15 tiles cut from one stomach biopsy slide · H&E · scanned at ×20.
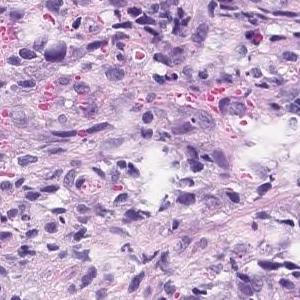
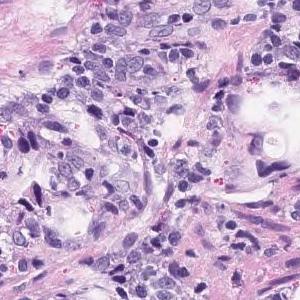
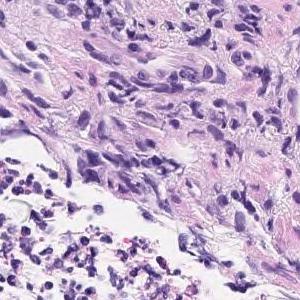
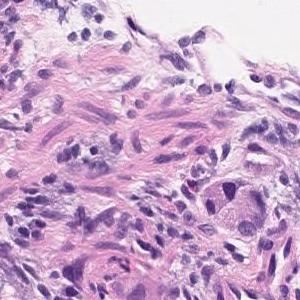
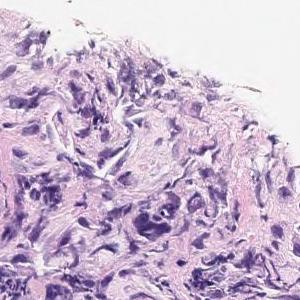
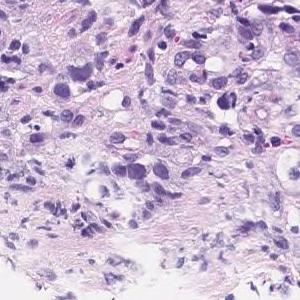
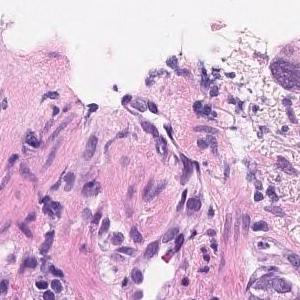
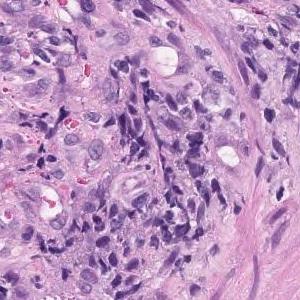
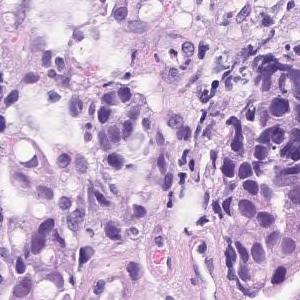
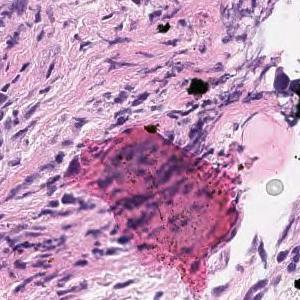
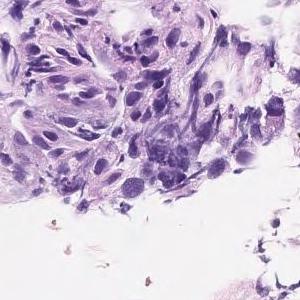
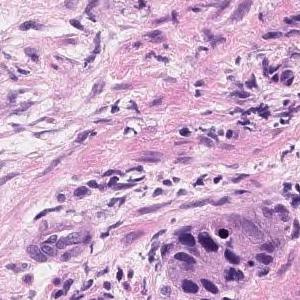
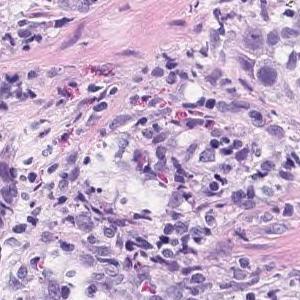
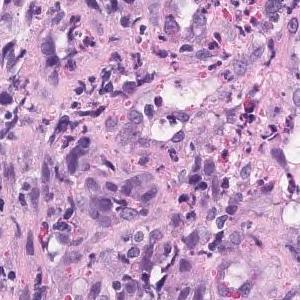
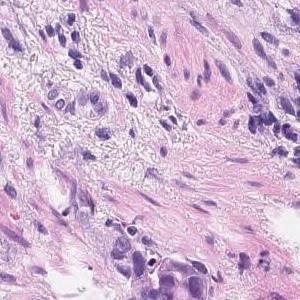
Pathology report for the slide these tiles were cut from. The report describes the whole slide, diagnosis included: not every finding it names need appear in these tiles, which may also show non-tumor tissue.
Group 5, Moderately differentiated adenocarcinoma
Classified as moderately differentiated tubular adenocarcinoma.
